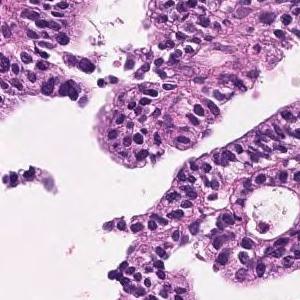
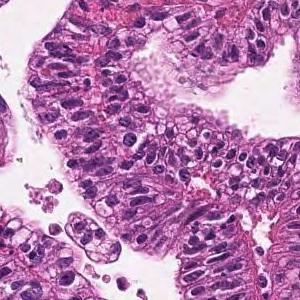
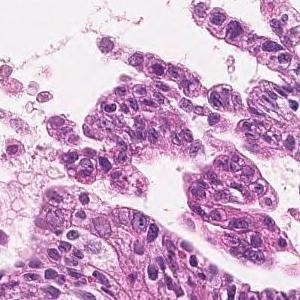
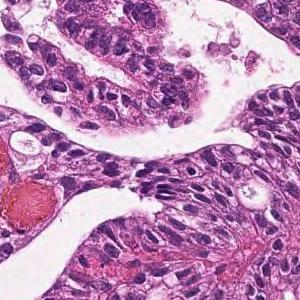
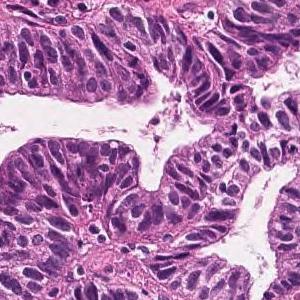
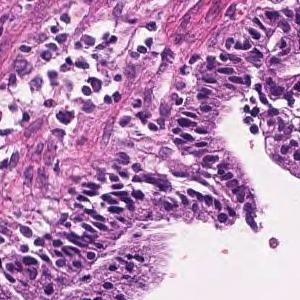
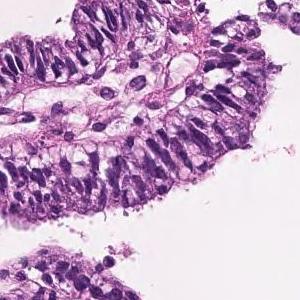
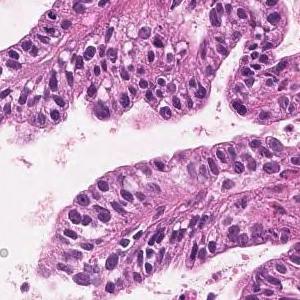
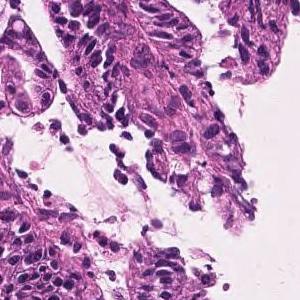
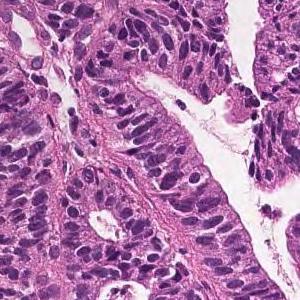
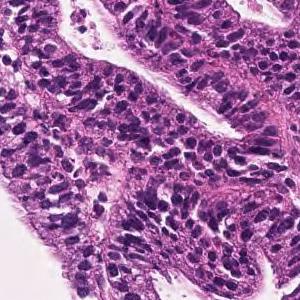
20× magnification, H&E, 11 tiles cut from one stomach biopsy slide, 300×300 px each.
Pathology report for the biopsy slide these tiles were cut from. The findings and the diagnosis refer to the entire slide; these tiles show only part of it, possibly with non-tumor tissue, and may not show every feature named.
Tumor cells are large, highly columnar, large club-shaped nuclei, and are associated with chromatin aggregation. Papillary adenocarcinoma.
